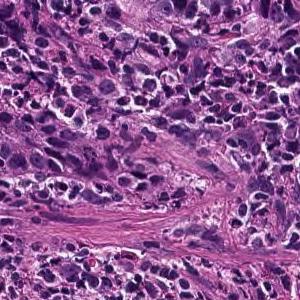
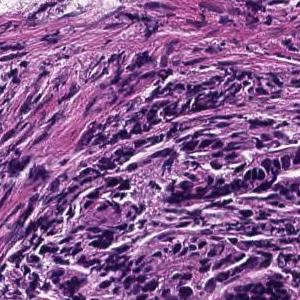
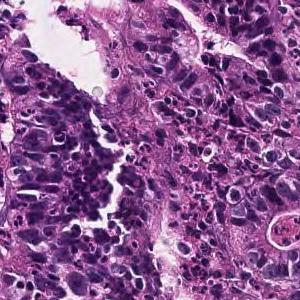
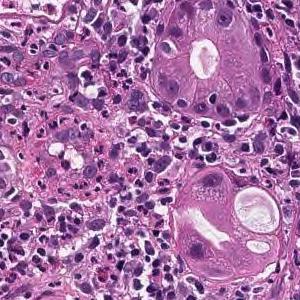
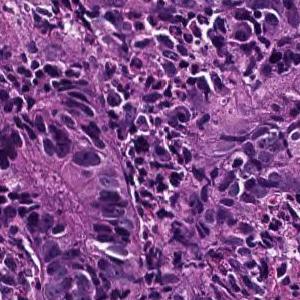
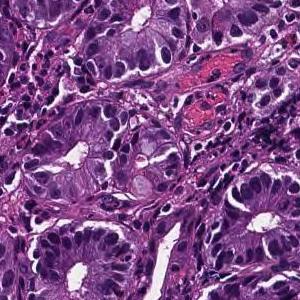
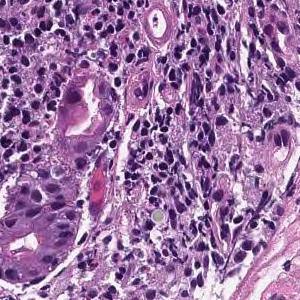
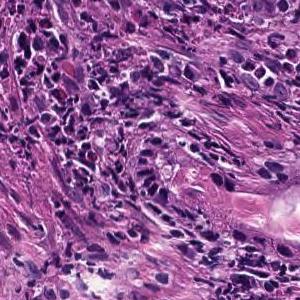
8 patches cut from one gastric biopsy slide, 300 × 300 pixels each, 20× magnification, H&E stain.
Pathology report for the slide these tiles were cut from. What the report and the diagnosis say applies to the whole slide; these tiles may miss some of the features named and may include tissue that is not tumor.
On the superficial epithelium, tumor tissue consisting of large, irregular glandular ducts partially fused and infiltrated is observed. Well to moderately differentiated tubular adenocarcinoma (well differentiated tubular adenocarcinoma, moderately differentiated tubular adenocarcinoma)
Histological subtype: Well to moderately differentiated tubular adenocarcinoma.
